6 tiles from the same stomach biopsy slide, each 300 × 300 pixels, H&E.
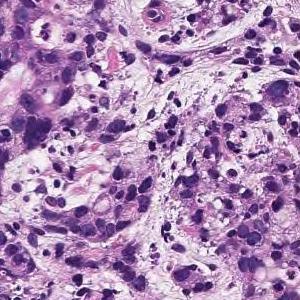
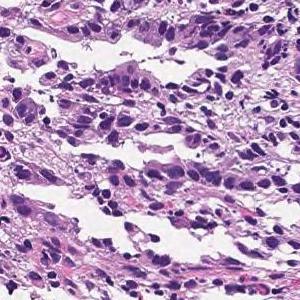
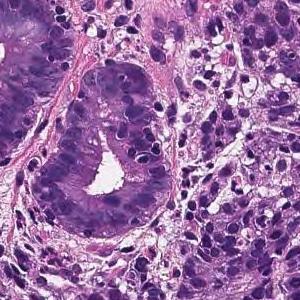
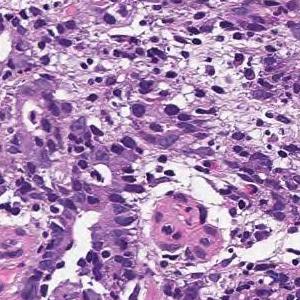
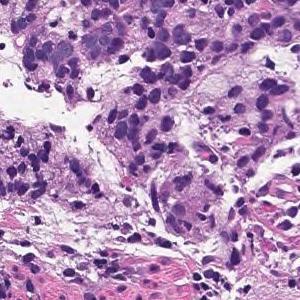
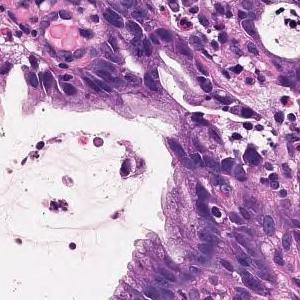
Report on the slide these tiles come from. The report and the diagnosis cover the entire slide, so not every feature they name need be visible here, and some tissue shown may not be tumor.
Tumor tissue consisting of cord-like or small, irregular glandular ducts fused and infiltrated is observed in the superficial epithelium. Poorly differentiated adenocarcinoma, non-solid type
The term "non-solid type" comes from the Japanese Classification of Gastric Carcinoma.
